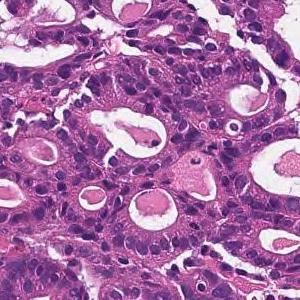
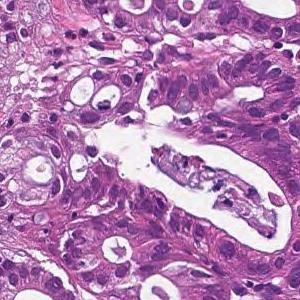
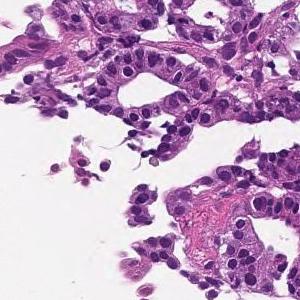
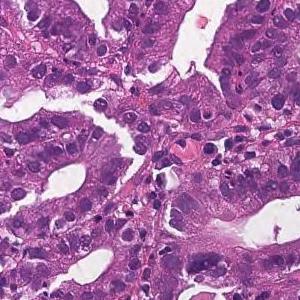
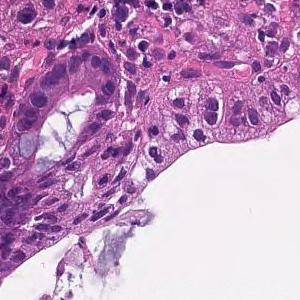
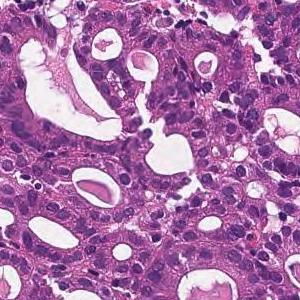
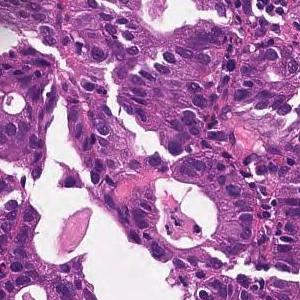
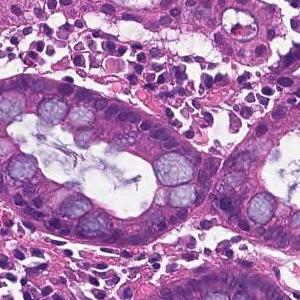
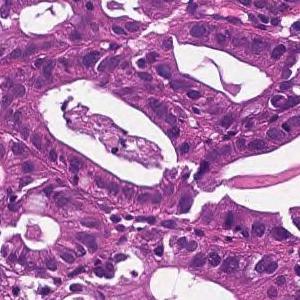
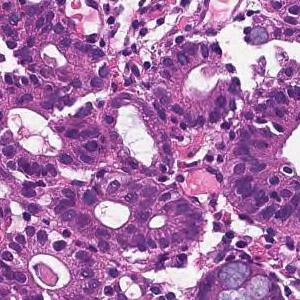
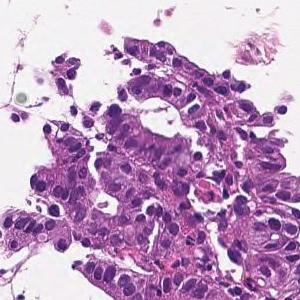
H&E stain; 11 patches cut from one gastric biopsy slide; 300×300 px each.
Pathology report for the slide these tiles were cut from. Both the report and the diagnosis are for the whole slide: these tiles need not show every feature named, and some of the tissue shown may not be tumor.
On the superficial epithelium, tumor tissue consisting of medium-sized irregular glandular ducts partially fused and infiltrated is observed. Well to moderately differentiated tubular adenocarcinoma (well differentiated tubular adenocarcinoma-moderately differentiated tubular adenocarcinoma)
Tumor subtype: well to moderately differentiated tubular adenocarcinoma.
